H&E; 20× magnification; 4 image tiles from a single gastric biopsy slide; 300×300 px each.
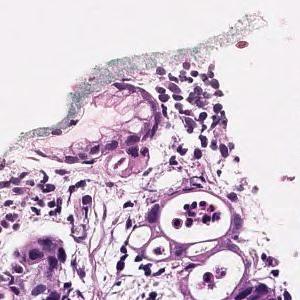
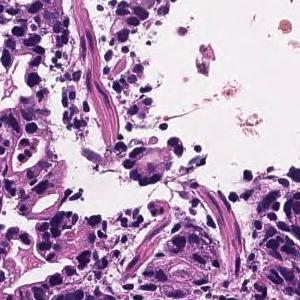
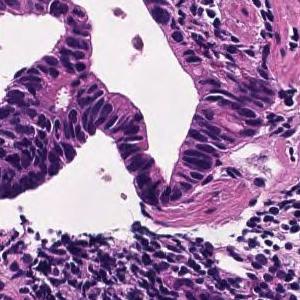
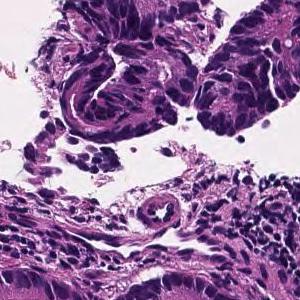
Pathology report for the slide these tiles were cut from. The report describes the whole slide, diagnosis included: not every finding it names need appear in these tiles, which may also show non-tumor tissue.
In the superficial epithelium, tumor tissue that invades by forming medium-sized to small, irregular ducts is observed. moderately differentiated tubular adenocarcinoma.
